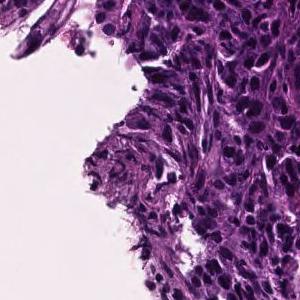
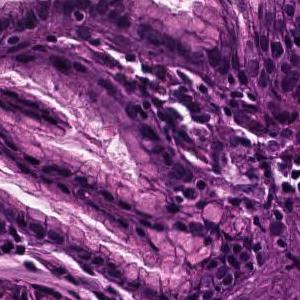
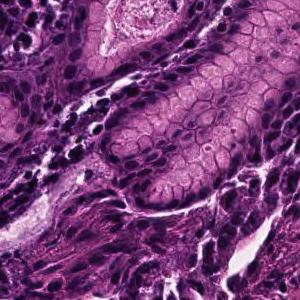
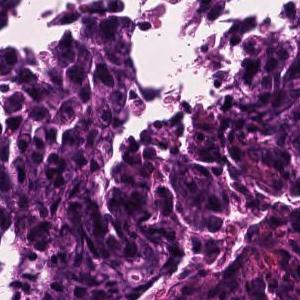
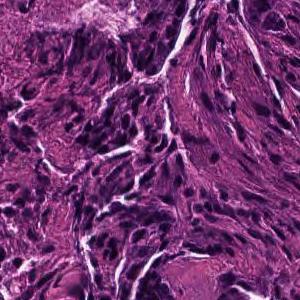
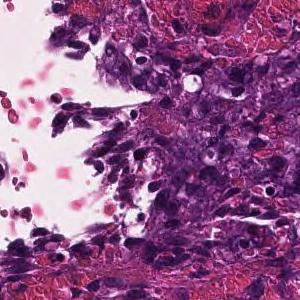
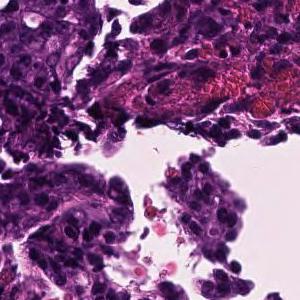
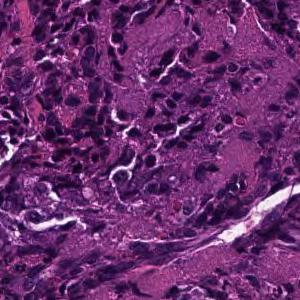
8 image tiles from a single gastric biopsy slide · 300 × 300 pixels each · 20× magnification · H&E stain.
Pathology report for the slide these tiles were cut from. The report describes the whole slide, diagnosis included: not every finding it names need appear in these tiles, which may also show non-tumor tissue.
Tumor tissue consisting of medium-sized, cord-like or irregular glandular infiltration is observed in the superficial epithelium. Poorly differentiated adenocarcinoma, non-solid type or moderately differentiated tubular adenocarcinoma
Subtype: Moderately to poorly differentiated adenocarcinoma.
The term "non-solid type" comes from the Japanese Classification of Gastric Carcinoma.
